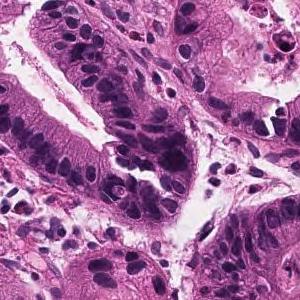
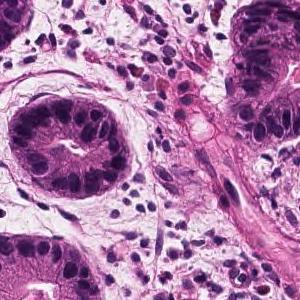
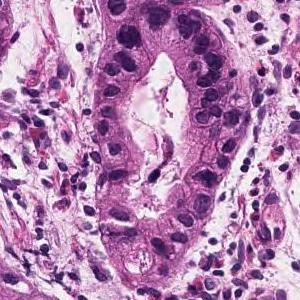
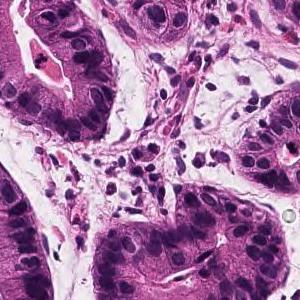
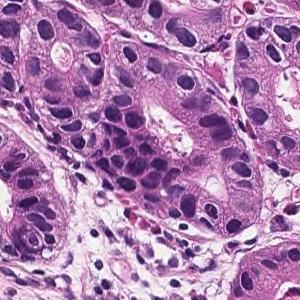
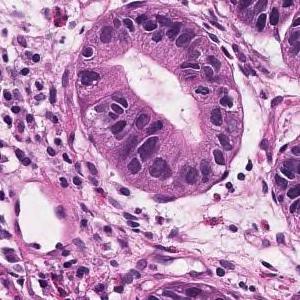
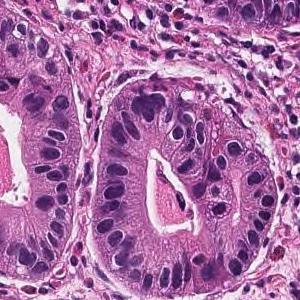
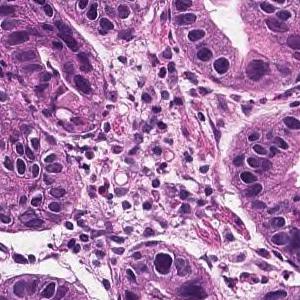
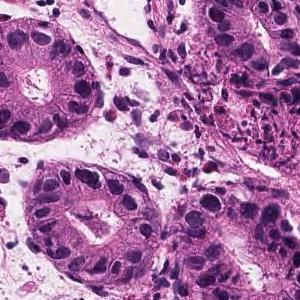
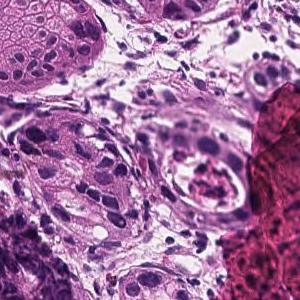
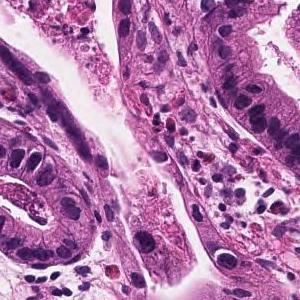
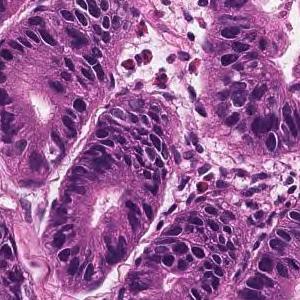
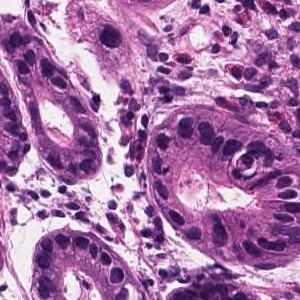
H&E; ×20; 13 tiles cut from one stomach biopsy slide; 300×300 px each.
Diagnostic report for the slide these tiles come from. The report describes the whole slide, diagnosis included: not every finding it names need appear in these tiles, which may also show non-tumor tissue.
Tumor tissue in which medium to small irregular ducts infiltrate and proliferate in the submucosa can be seen in the epithelium. Well differentiated tubular adenocarcinoma
